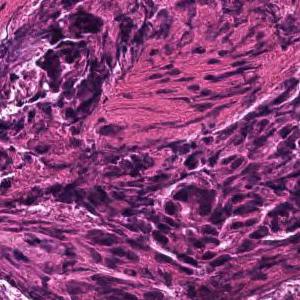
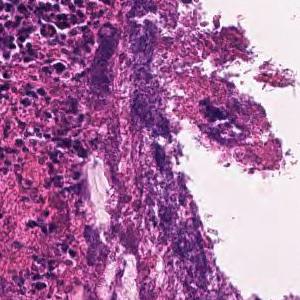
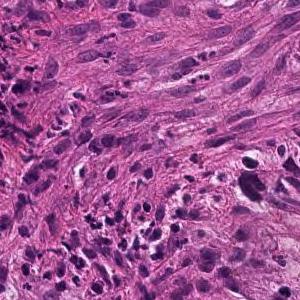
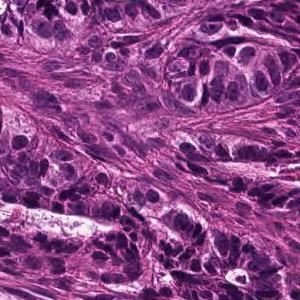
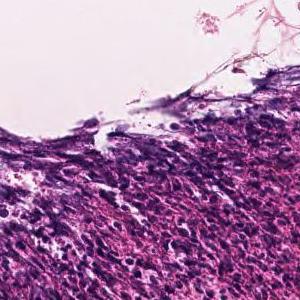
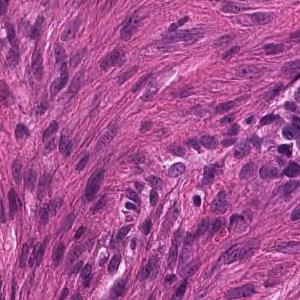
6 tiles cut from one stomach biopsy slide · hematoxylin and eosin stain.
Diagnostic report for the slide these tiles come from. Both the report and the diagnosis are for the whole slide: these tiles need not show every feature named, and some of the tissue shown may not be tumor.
In the superficial epithelium, tumor tissue that invades by forming medium-sized to small, irregular ducts is observed. moderately differentiated tubular adenocarcinoma.
